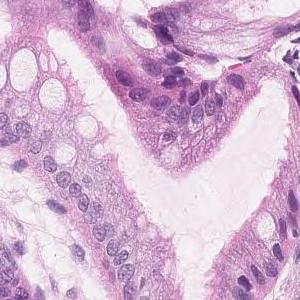
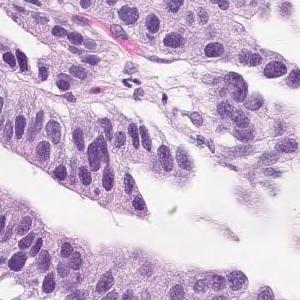
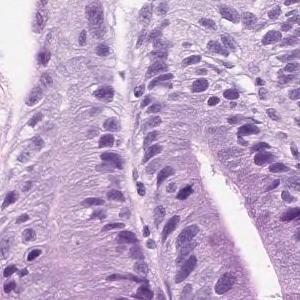
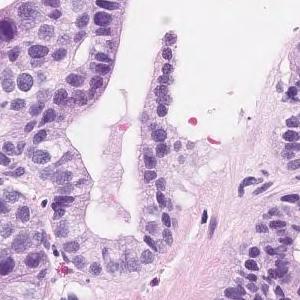
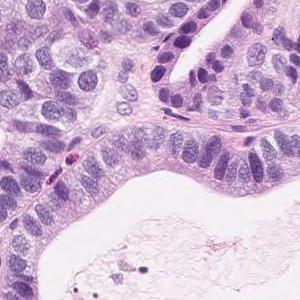
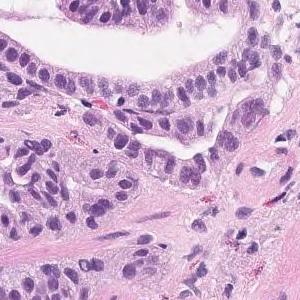
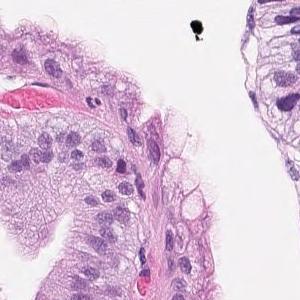
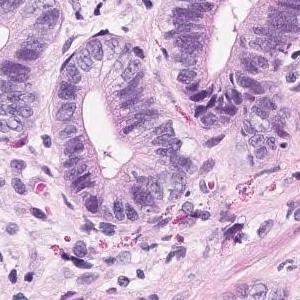
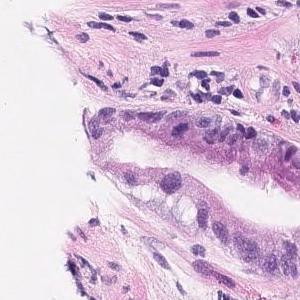
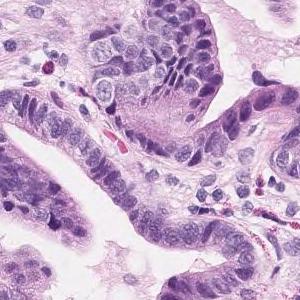
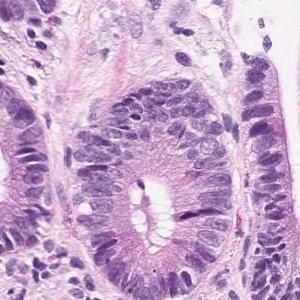
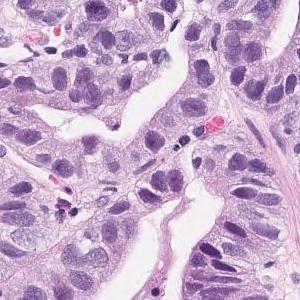
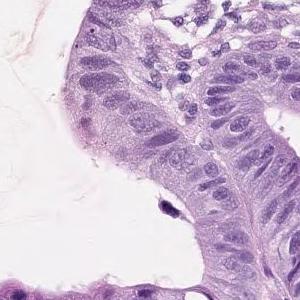
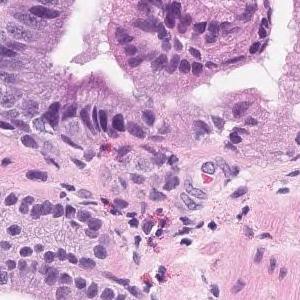
14 tiles cut from one stomach biopsy slide · 300×300 px each · ×20 · H&E.
Report on the slide these tiles come from. The findings and the diagnosis refer to the entire slide; these tiles show only part of it, possibly with non-tumor tissue, and may not show every feature named.
Short atypical epithelium with swelling of the nucleus shows proliferating, large and small irregular ductal structures. Well to moderately differentiated tubular adenocarcinoma (well differentiated tubular adenocarcinoma-moderately differentiated tubular adenocarcinoma)
Histological subtype: Well to moderately differentiated tubular adenocarcinoma.
